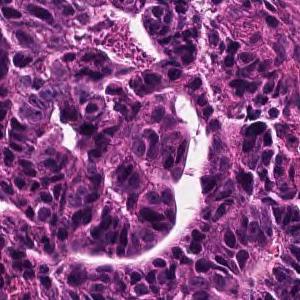
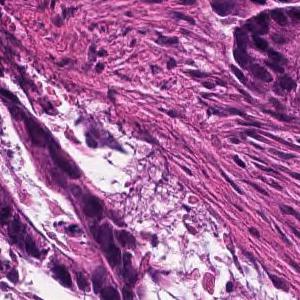
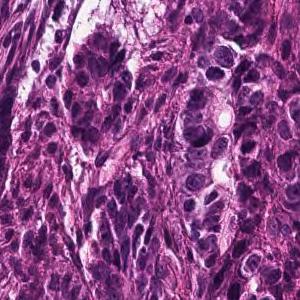
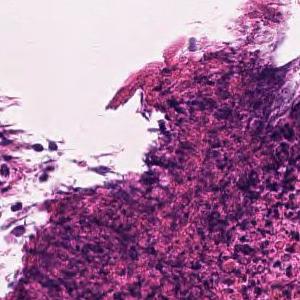
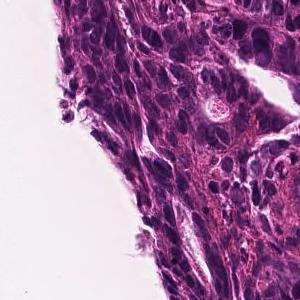
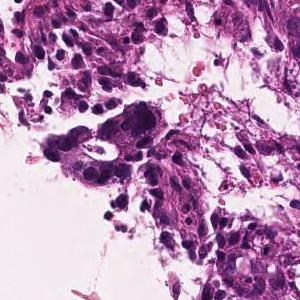
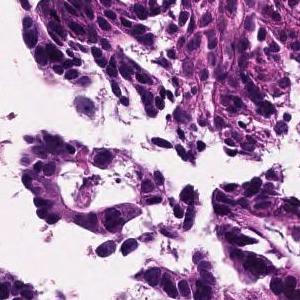
7 tiles from the same stomach biopsy slide; H&E stain; 20× magnification.
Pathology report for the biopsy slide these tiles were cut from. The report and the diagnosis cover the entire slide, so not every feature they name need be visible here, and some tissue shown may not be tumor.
In the superficial epithelium, tumor tissue that invades by forming medium-sized to small, irregular ducts is observed. moderately differentiated tubular adenocarcinoma.
